×20 · hematoxylin and eosin stain · 6 tiles cut from one stomach biopsy slide · each 300 × 300 pixels.
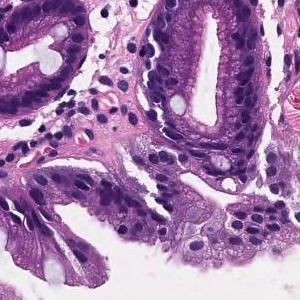
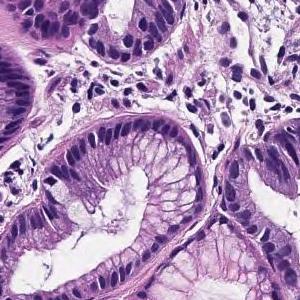
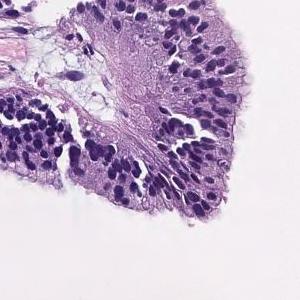
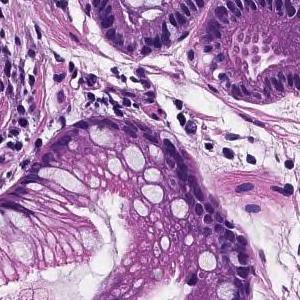
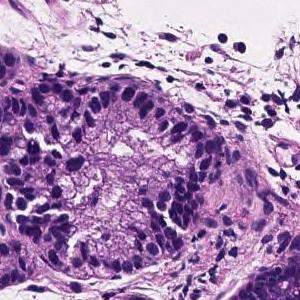
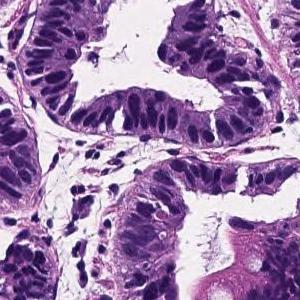
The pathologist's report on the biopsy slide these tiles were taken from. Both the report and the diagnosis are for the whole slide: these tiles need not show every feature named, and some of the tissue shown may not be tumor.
Tumor cells are large, highly columnar, large club-shaped nuclei, and are associated with chromatin aggregation. Papillary adenocarcinoma.
